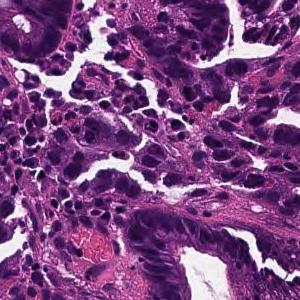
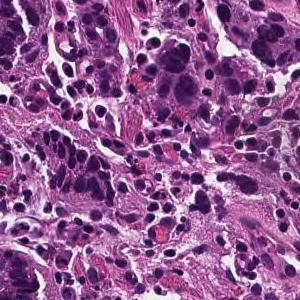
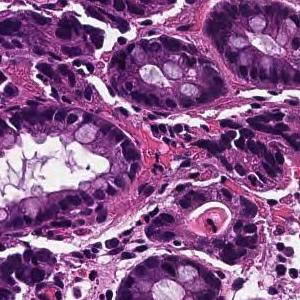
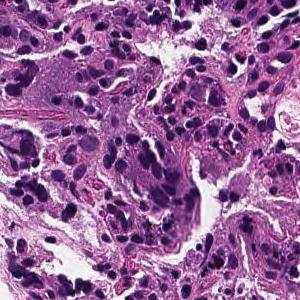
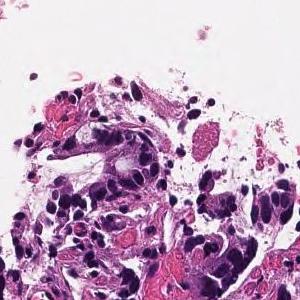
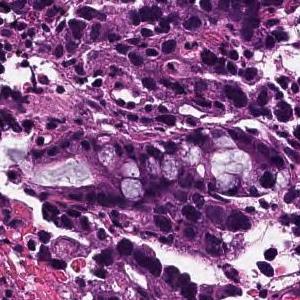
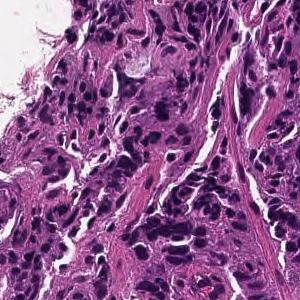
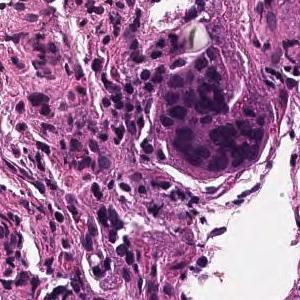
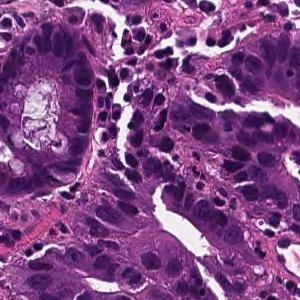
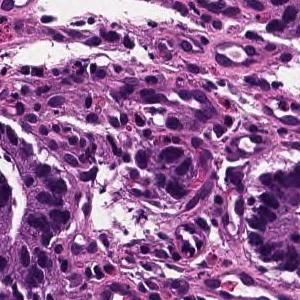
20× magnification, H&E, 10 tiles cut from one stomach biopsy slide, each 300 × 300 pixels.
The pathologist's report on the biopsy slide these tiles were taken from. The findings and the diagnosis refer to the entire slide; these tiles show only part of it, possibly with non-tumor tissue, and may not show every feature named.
In the superficial epithelium, tumor tissue that invades by forming medium-sized to small, irregular ducts is observed. moderately differentiated tubular adenocarcinoma.
